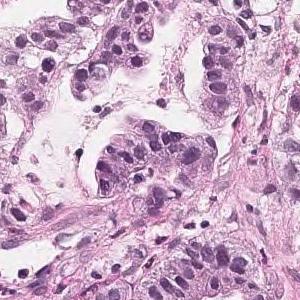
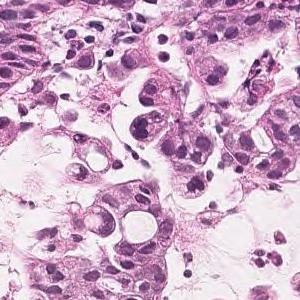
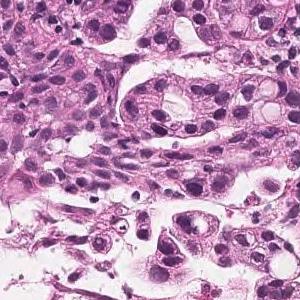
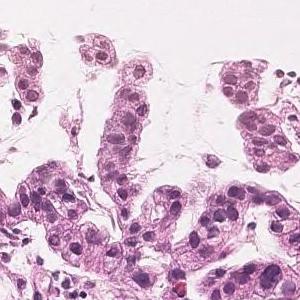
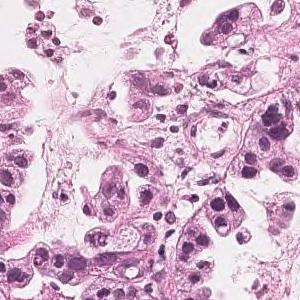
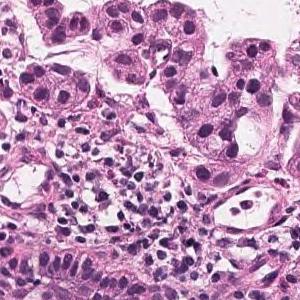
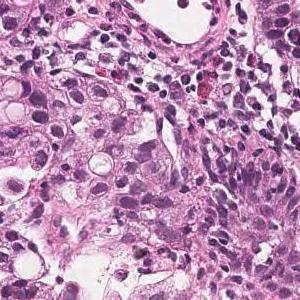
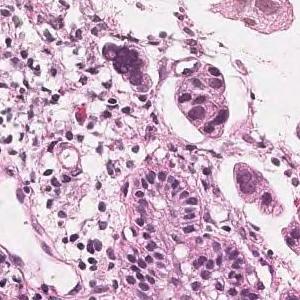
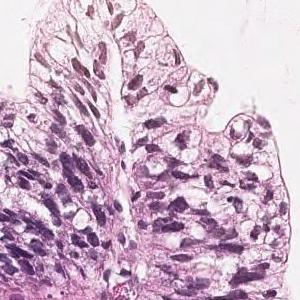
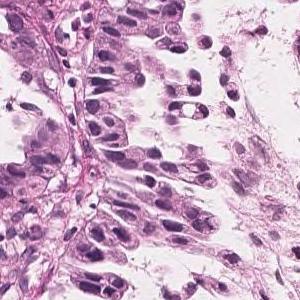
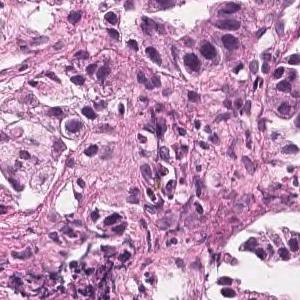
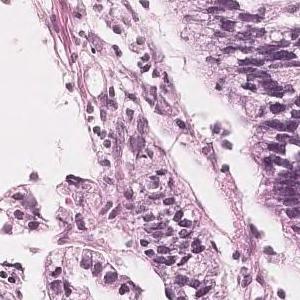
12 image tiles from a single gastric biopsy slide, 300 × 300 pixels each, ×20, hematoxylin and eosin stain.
The pathologist's report on the biopsy slide these tiles were taken from. The report describes the whole slide, diagnosis included: not every finding it names need appear in these tiles, which may also show non-tumor tissue.
Tumor cells are large, highly columnar, large club-shaped nuclei, and are associated with chromatin aggregation. Papillary adenocarcinoma.
